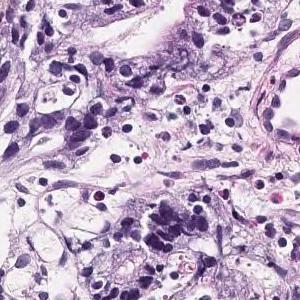
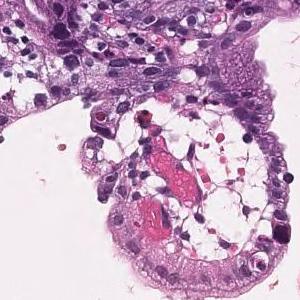
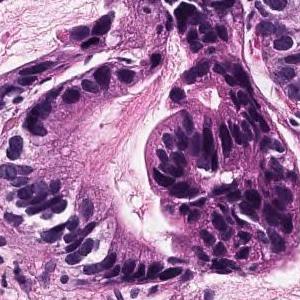
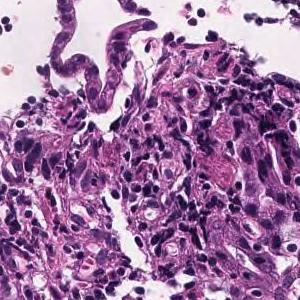
4 tiles cut from one stomach biopsy slide · H&E stain · scanned at ×20.
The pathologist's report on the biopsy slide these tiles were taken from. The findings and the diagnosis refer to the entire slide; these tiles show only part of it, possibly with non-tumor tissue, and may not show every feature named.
Tumor tissue consisting of medium-sized and irregular ducts is observed infiltrating in the superficial epithelium. Tumor cells are highly columnar, with nuclei aligned basolaterally and polarized. Well differentiated tubular adenocarcinoma.
